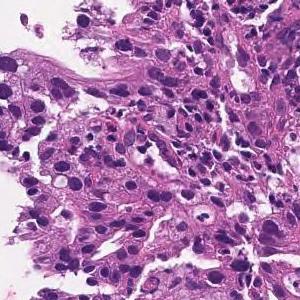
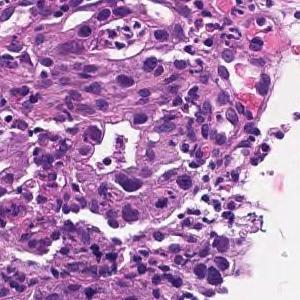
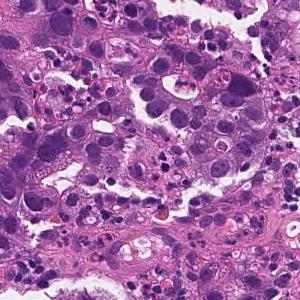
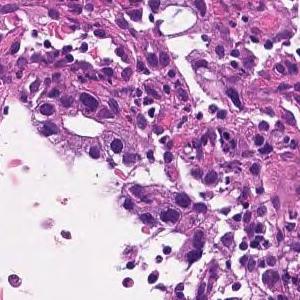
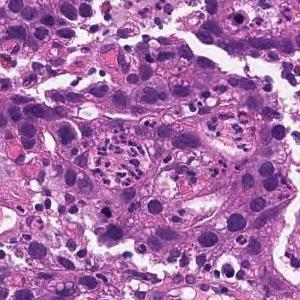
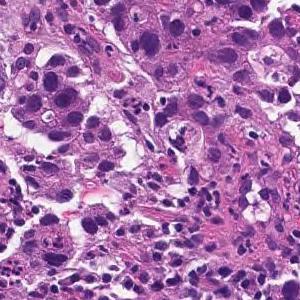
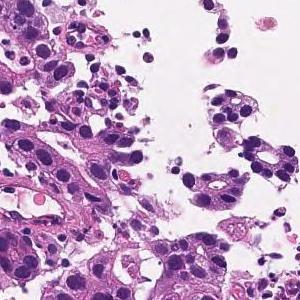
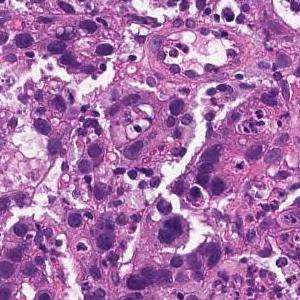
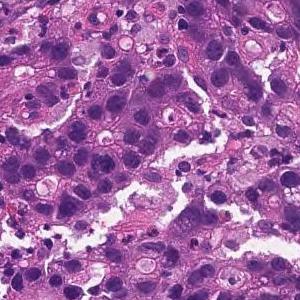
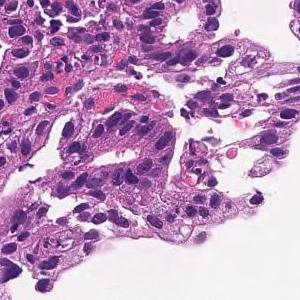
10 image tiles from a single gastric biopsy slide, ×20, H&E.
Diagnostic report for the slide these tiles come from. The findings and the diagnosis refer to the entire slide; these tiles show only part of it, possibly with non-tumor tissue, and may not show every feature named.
Medium to small, irregular glandular ducts are formed in the superficial epithelium, and in some cases, the glandular ducts are fused to show solid alveolar lesions and infiltrating tumor tissue is observed. Moderately to poorly differentiated adenocarcinoma.
